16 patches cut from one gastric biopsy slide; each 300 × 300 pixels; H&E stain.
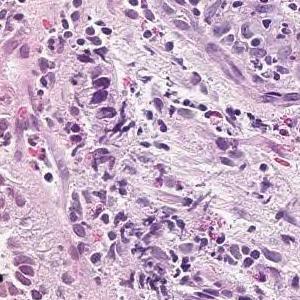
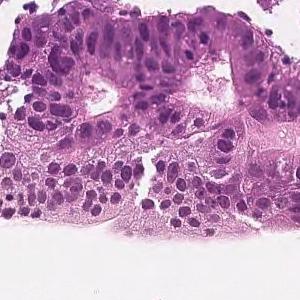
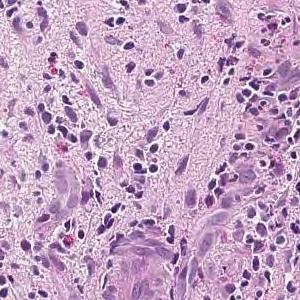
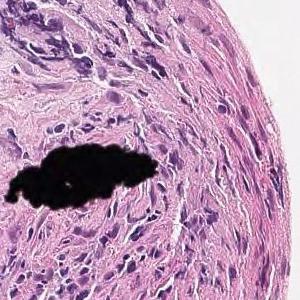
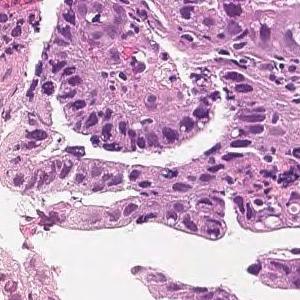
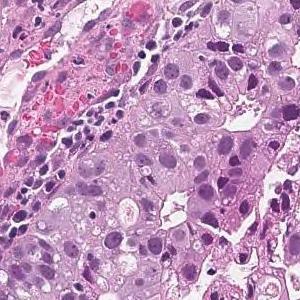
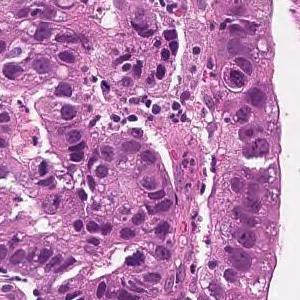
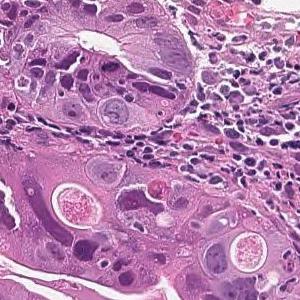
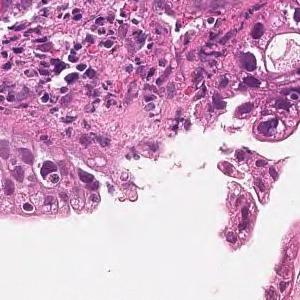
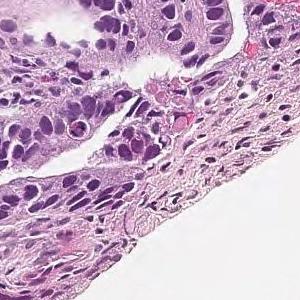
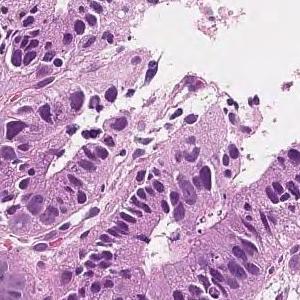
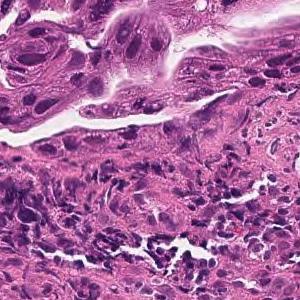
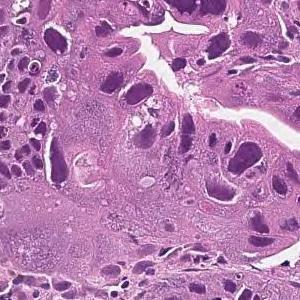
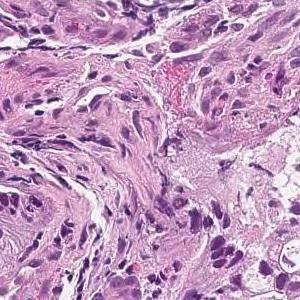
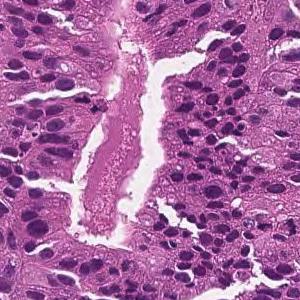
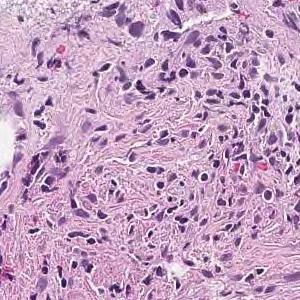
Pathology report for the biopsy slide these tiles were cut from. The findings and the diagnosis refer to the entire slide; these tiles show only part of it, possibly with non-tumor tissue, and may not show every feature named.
In the superficial epithelium, tumor tissue that invades by forming medium-sized to small, irregular ducts is observed. moderately differentiated tubular adenocarcinoma.
